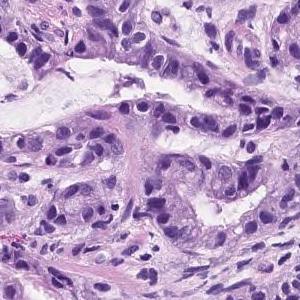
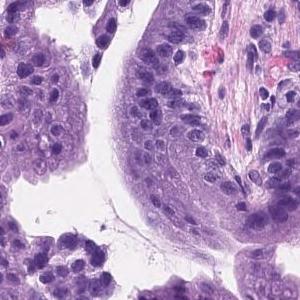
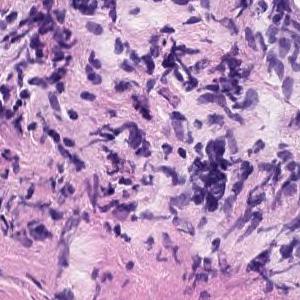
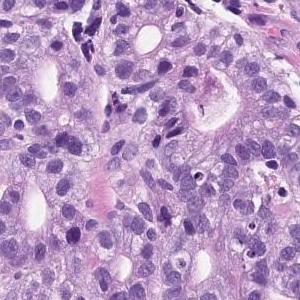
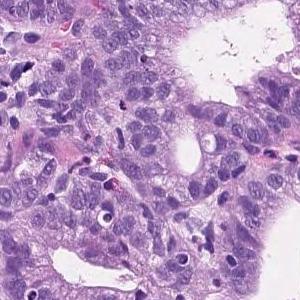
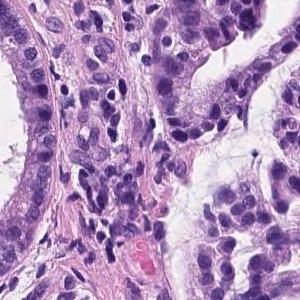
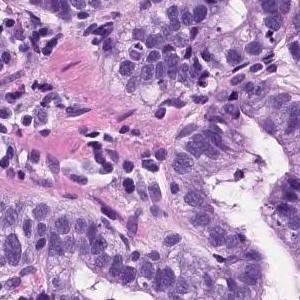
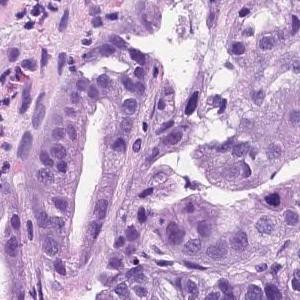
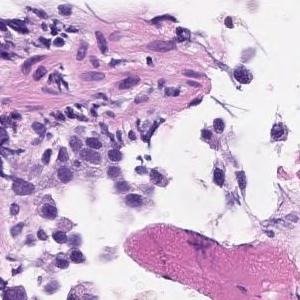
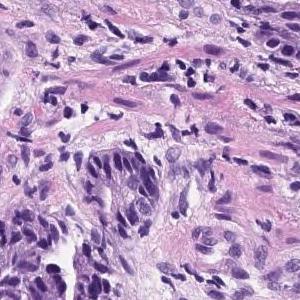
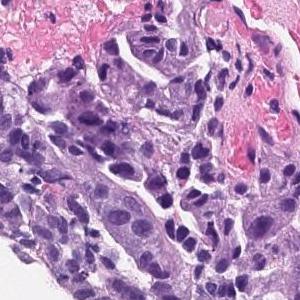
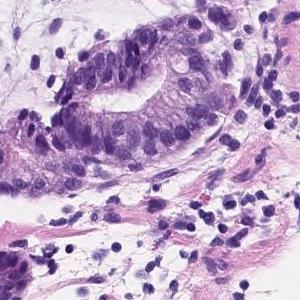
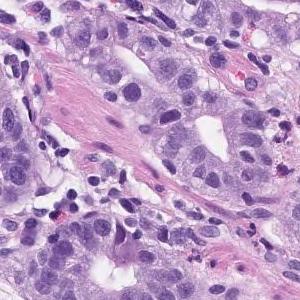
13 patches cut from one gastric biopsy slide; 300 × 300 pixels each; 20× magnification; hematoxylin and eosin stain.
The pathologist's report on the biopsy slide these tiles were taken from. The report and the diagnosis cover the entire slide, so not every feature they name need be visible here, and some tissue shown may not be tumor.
Tumor tissue consisting of medium-sized and irregular ducts is observed infiltrating in the superficial epithelium. Tumor cells are highly columnar, with nuclei aligned basolaterally and polarized. Well differentiated tubular adenocarcinoma.
